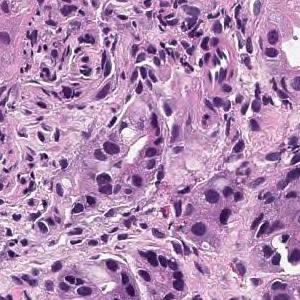
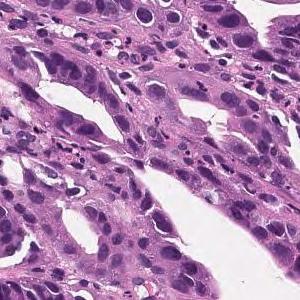
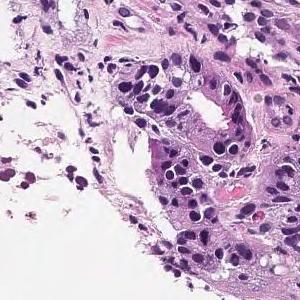
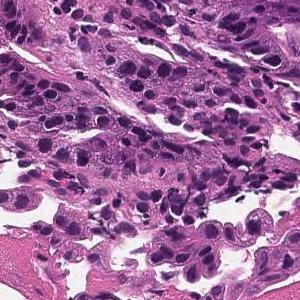
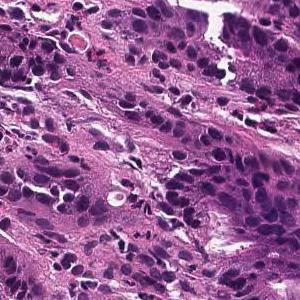
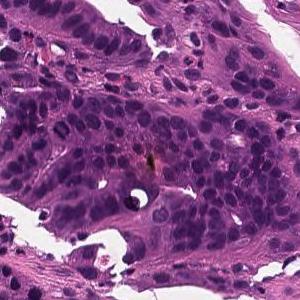
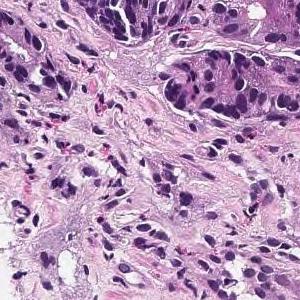
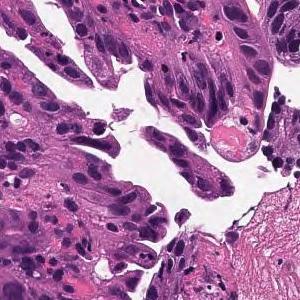
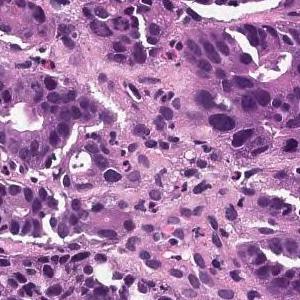
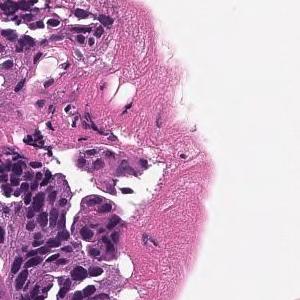
10 tiles cut from one stomach biopsy slide, 300 × 300 pixels each, 20× magnification, hematoxylin and eosin stain.
Diagnostic report for the slide these tiles come from. The report and the diagnosis cover the entire slide, so not every feature they name need be visible here, and some tissue shown may not be tumor.
From the superficial epithelium to the muscularis mucosae, tumor tissue consisting of medium-sized and irregular glandular ducts infiltrating is observed. Well differentiated tubular adenocarcinoma
